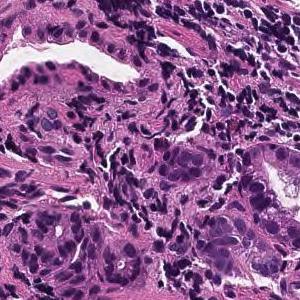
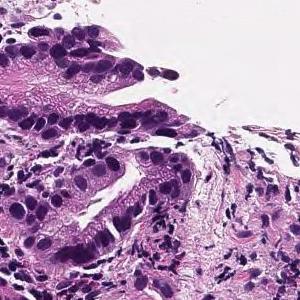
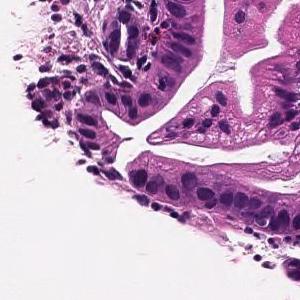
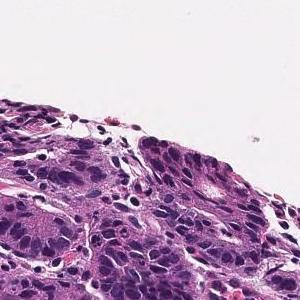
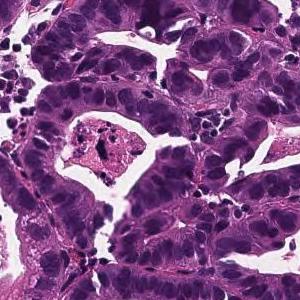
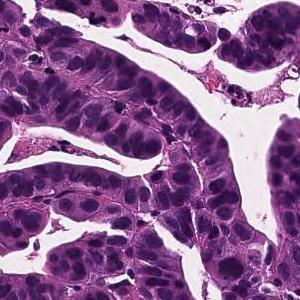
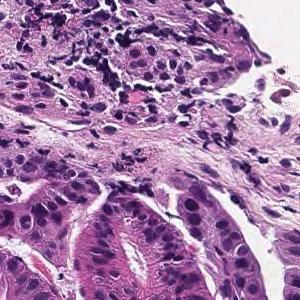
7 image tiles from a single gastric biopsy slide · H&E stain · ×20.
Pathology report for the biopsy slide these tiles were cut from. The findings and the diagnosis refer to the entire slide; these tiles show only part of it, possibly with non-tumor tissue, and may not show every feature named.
From the superficial epithelium to the muscularis mucosae, tumor tissue that invades by forming medium-sized to small irregular gland ducts is observed. Well differentiated tubular adenocarcinoma (well differentiated tubular adenocarcinoma)
Histological subtype: Well differentiated tubular adenocarcinoma.
